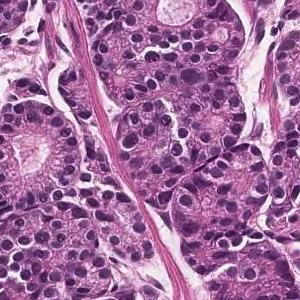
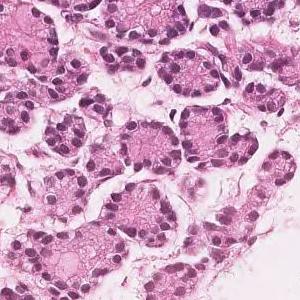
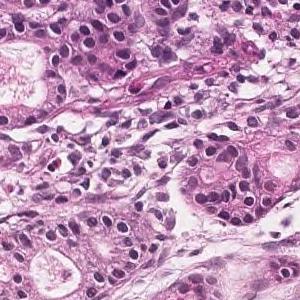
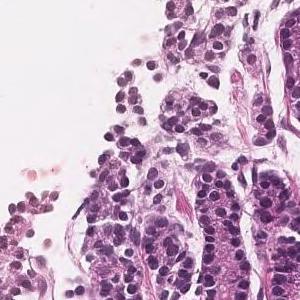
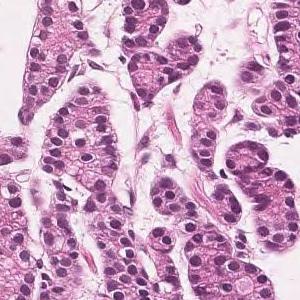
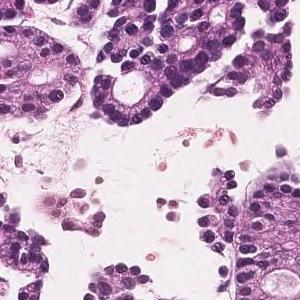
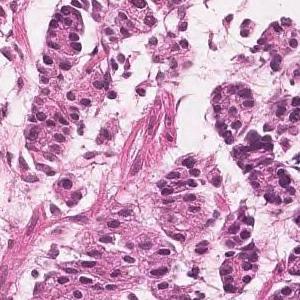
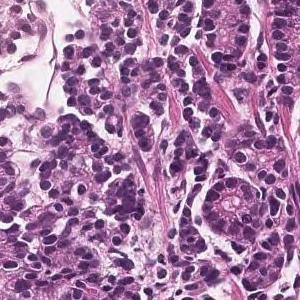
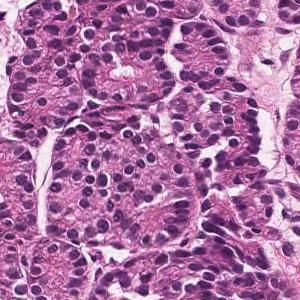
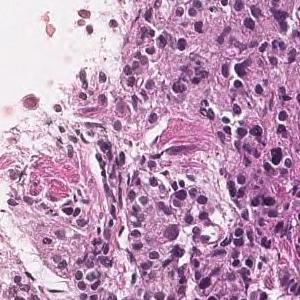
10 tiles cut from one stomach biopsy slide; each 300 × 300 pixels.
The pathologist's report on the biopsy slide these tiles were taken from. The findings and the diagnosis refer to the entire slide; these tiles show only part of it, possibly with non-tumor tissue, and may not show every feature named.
In the superficial epithelium, tumor tissue that invades by forming medium-sized to small, irregular ducts is observed. Moderately differentiated adenocarcinoma.
Subtype: Moderately differentiated tubular adenocarcinoma.
